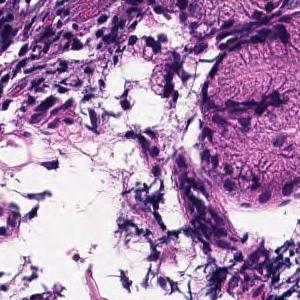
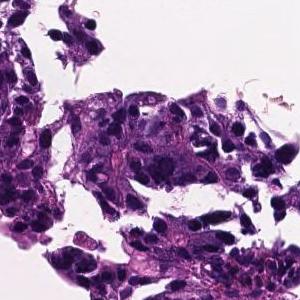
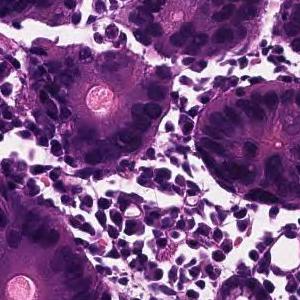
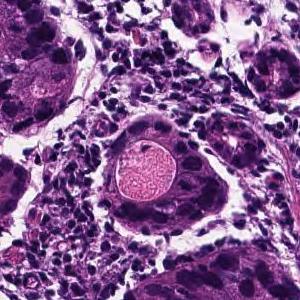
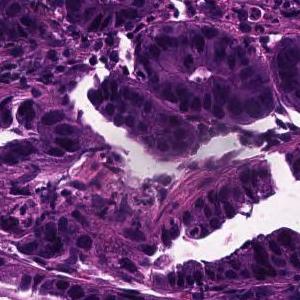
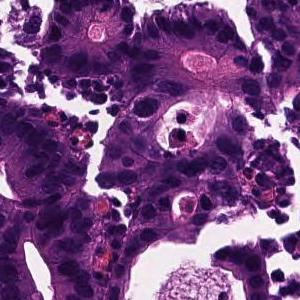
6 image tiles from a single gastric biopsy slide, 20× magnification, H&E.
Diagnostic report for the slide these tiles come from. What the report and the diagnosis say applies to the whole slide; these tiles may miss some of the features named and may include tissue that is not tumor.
From the superficial epithelium to the muscularis mucosae, tumor tissue infiltrating by forming medium-sized irregular gland ducts is observed. Large tumor cells exhibit large nucleus and hyperchromatism. Well differentiated tubular adenocarcinoma
